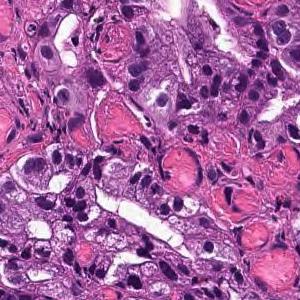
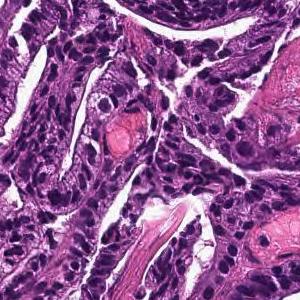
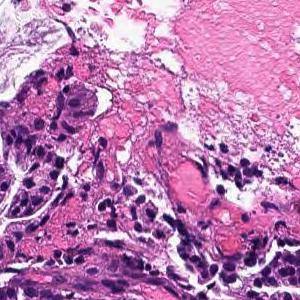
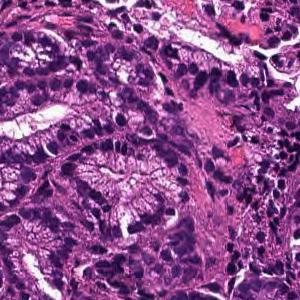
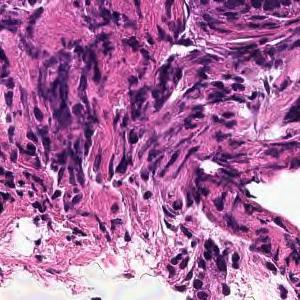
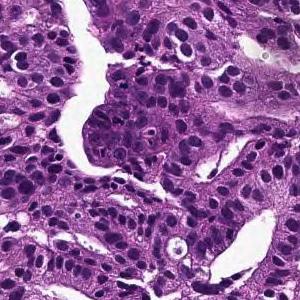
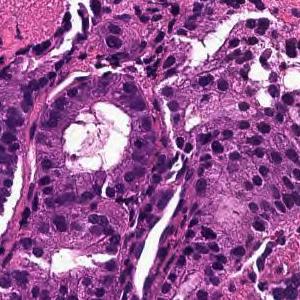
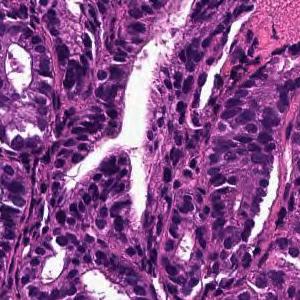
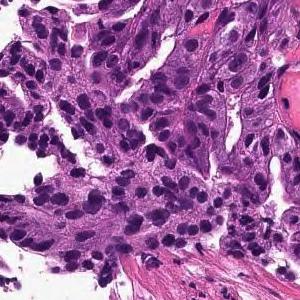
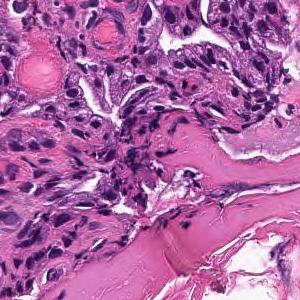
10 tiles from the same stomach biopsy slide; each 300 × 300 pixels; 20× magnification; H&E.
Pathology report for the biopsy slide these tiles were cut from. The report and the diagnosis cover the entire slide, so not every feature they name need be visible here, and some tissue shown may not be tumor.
From the superficial epithelium to the muscularis mucosae, tumor tissue consisting of medium-sized and irregular glandular ducts infiltrating is observed. Well differentiated tubular adenocarcinoma
